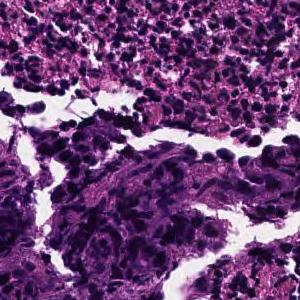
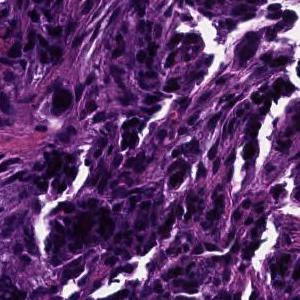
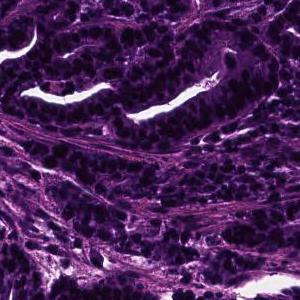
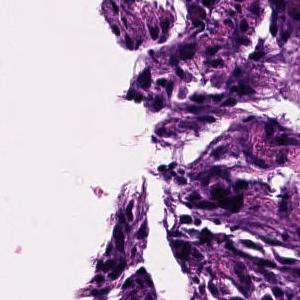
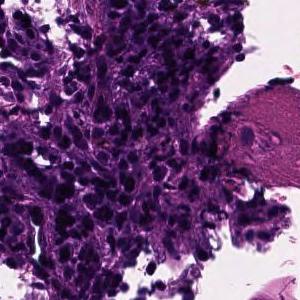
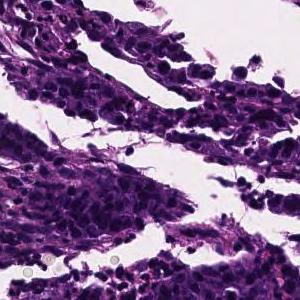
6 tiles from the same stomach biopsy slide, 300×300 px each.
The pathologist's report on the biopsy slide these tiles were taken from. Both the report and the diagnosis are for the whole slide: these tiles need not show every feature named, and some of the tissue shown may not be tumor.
In the superficial epithelium, tumor tissue that invades by forming medium-sized to small, irregular ducts is observed. moderately differentiated tubular adenocarcinoma.
